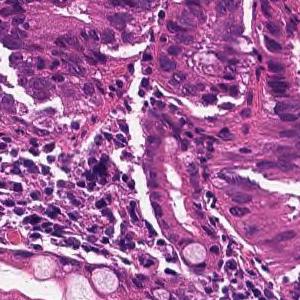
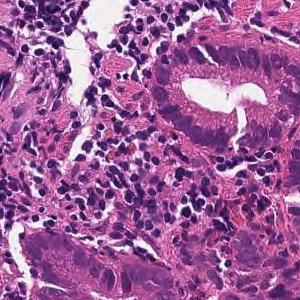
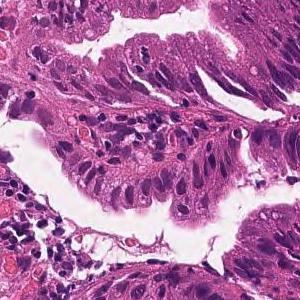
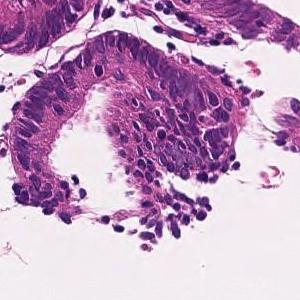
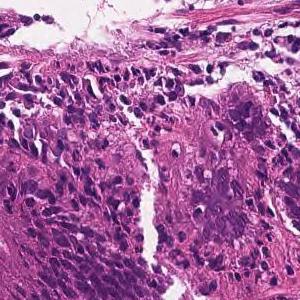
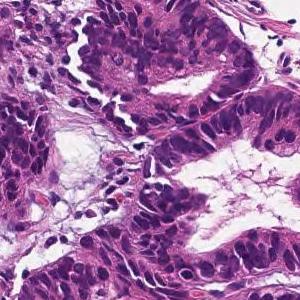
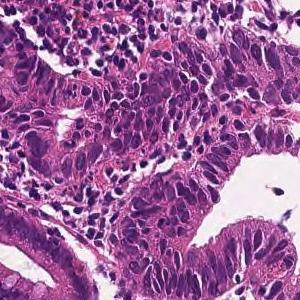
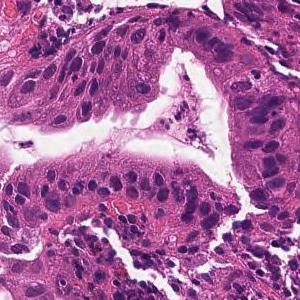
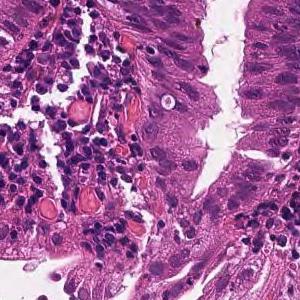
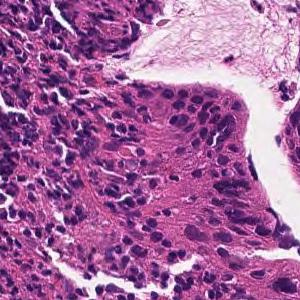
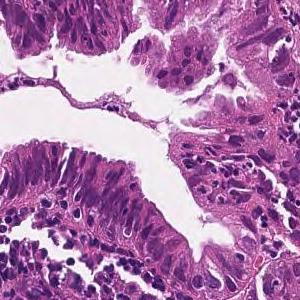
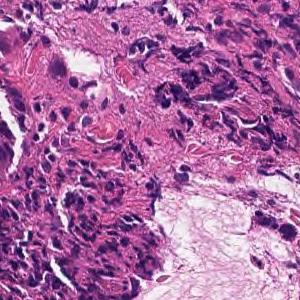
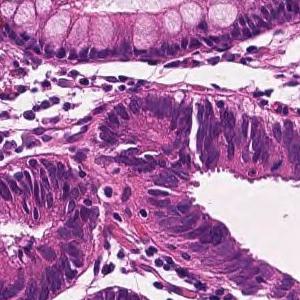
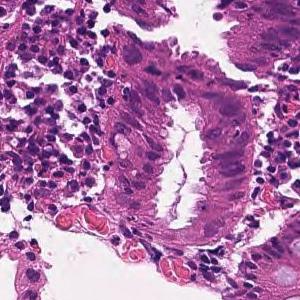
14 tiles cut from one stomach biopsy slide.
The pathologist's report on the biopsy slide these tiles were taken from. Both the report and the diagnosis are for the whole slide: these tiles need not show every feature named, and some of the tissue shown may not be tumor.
From the superficial epithelium to the muscularis mucosae, tumor tissue infiltrating by forming medium-sized irregular gland ducts is observed. Large tumor cells exhibit large nucleus and hyperchromatism. Well differentiated tubular adenocarcinoma
